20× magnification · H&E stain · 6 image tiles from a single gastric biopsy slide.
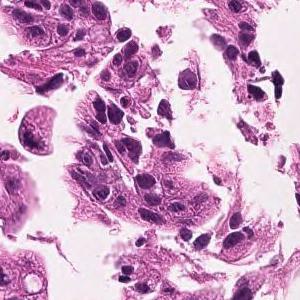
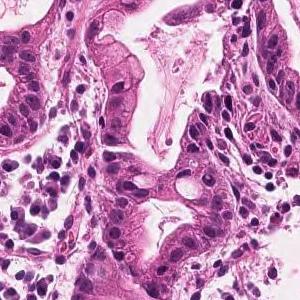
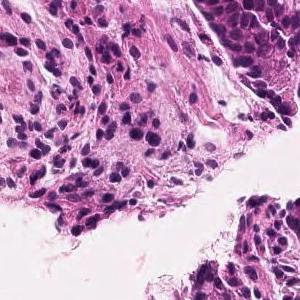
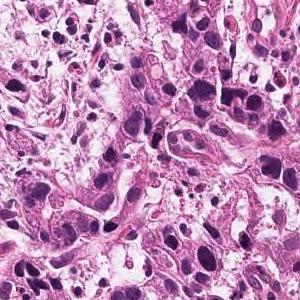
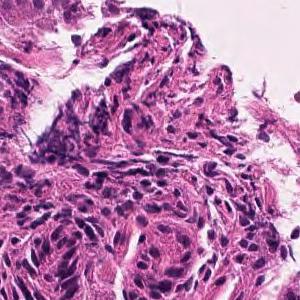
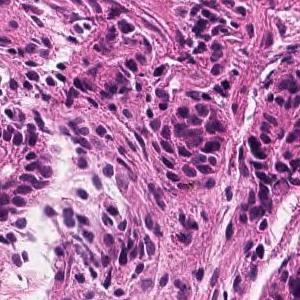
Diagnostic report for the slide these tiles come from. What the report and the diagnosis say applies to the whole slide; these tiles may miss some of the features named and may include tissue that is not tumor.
Tumor tissue consisting of medium-sized, cord-like or irregular glandular infiltration is observed in the superficial epithelium. Poorly differentiated adenocarcinoma, non-solid type or moderately differentiated tubular adenocarcinoma
Histological subtype: Moderately to poorly differentiated adenocarcinoma.
The term "non-solid type" comes from the Japanese Classification of Gastric Carcinoma.
